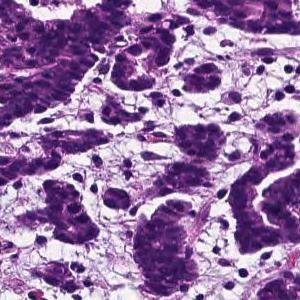
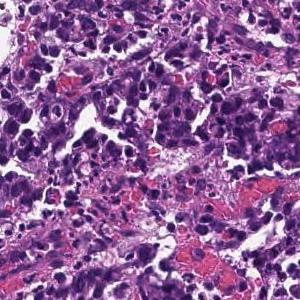
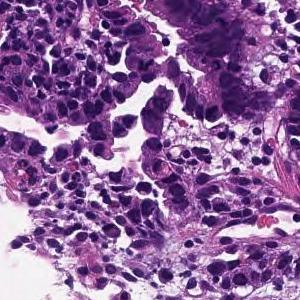
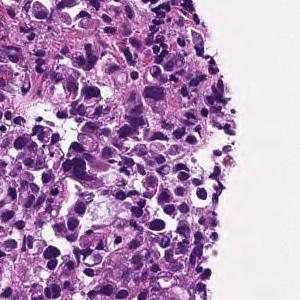
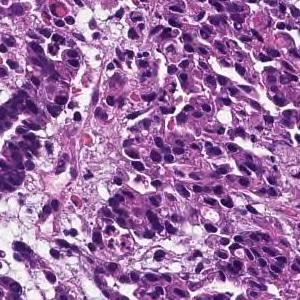
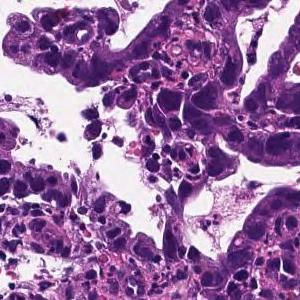
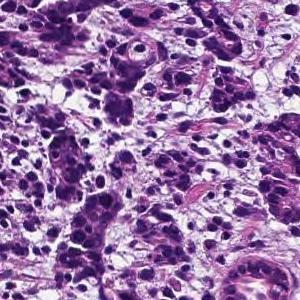
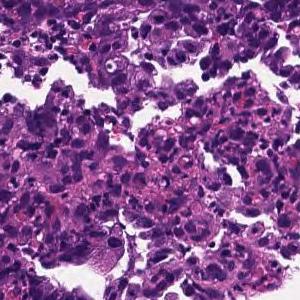
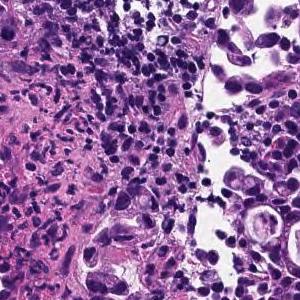
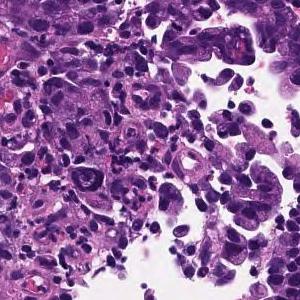
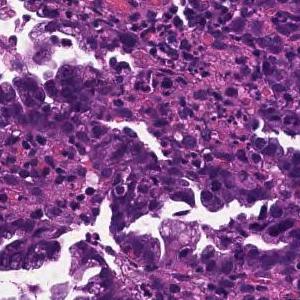
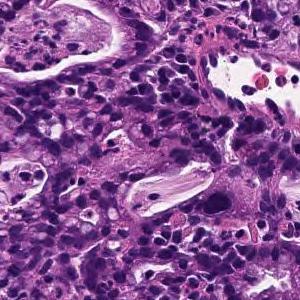
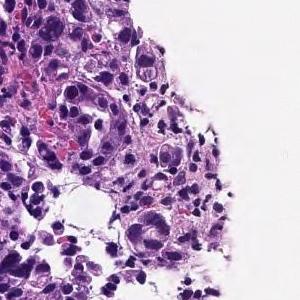
20× magnification; 13 tiles from the same stomach biopsy slide; 300×300 px each.
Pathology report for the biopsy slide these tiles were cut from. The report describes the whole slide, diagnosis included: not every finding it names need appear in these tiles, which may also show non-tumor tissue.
In the superficial epithelium, tumor tissue that invades by forming medium-sized to small, irregular ducts is observed. moderately differentiated tubular adenocarcinoma.
